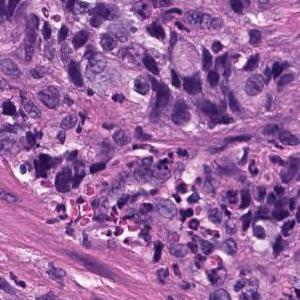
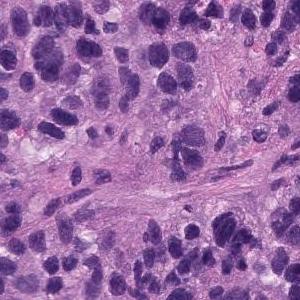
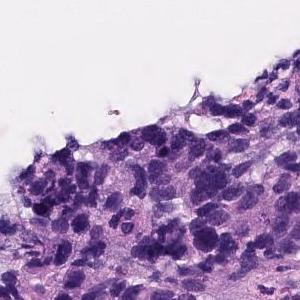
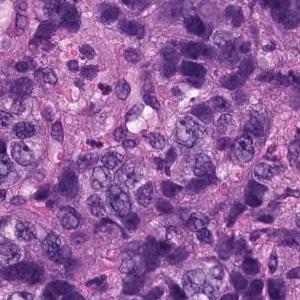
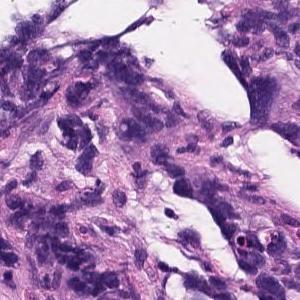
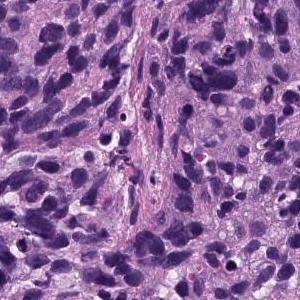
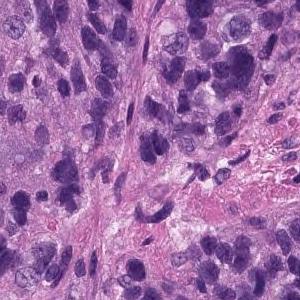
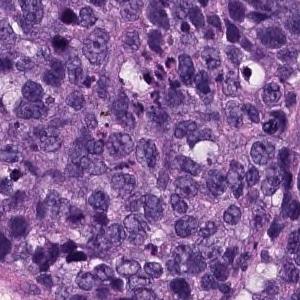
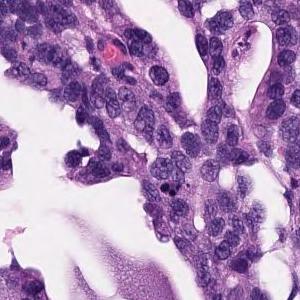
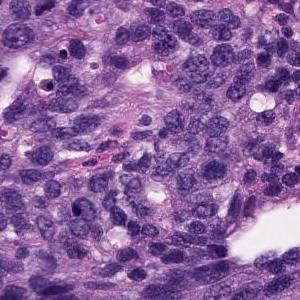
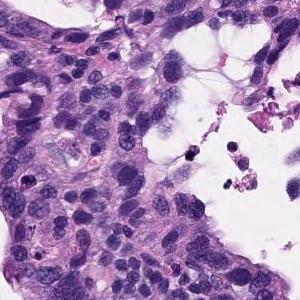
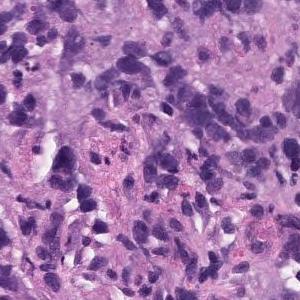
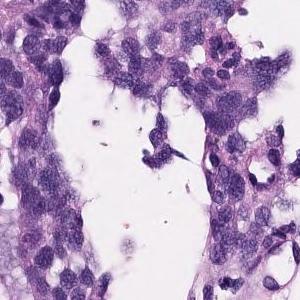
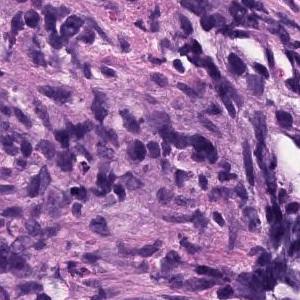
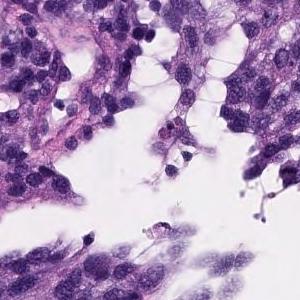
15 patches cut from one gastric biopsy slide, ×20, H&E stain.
Diagnostic report for the slide these tiles come from. The report and the diagnosis cover the entire slide, so not every feature they name need be visible here, and some tissue shown may not be tumor.
Atypical l cells with atypical nuclei under the mucosa growing in isolation and scattered. Poorly differentiated adenocarcinoma (poorly differentiated adenocarcinoma, non-solid type)
Histologic type: Poorly differentiated adenocarcinoma, non-solid type.
The term "non-solid type" comes from the Japanese Classification of Gastric Carcinoma.
